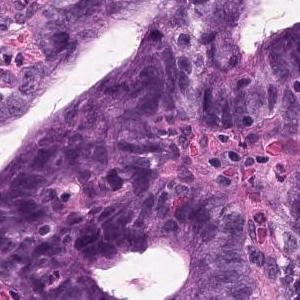
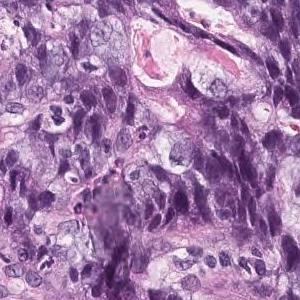
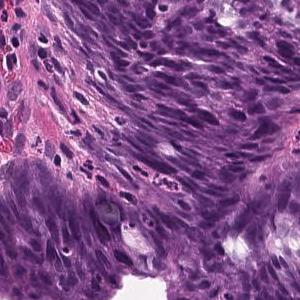
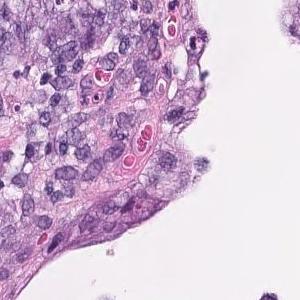
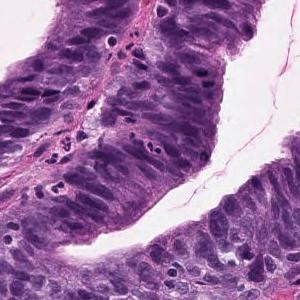
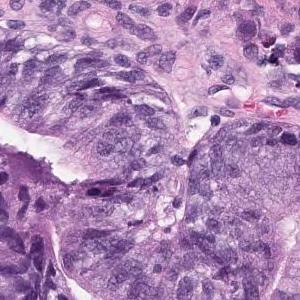
6 patches cut from one gastric biopsy slide; 300 × 300 pixels each; H&E stain.
Pathology report for the biopsy slide these tiles were cut from. The report and the diagnosis cover the entire slide, so not every feature they name need be visible here, and some tissue shown may not be tumor.
Large atypical epithelial cells with swollen atypical nuclei are seen proliferating into a tubular fusion gland. moderately differentiated tubular adenocarcinoma
